15 tiles from the same stomach biopsy slide · 20× magnification · H&E stain.
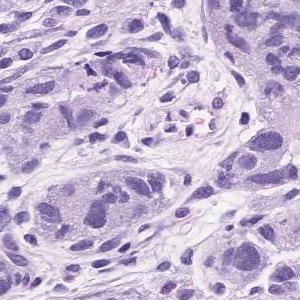
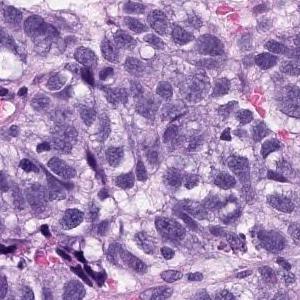
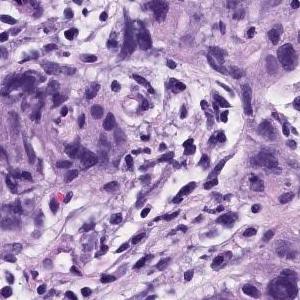
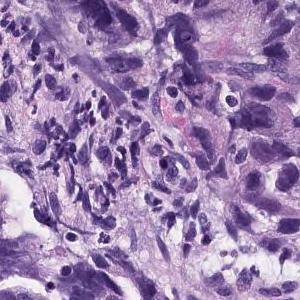
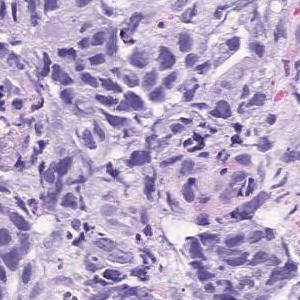
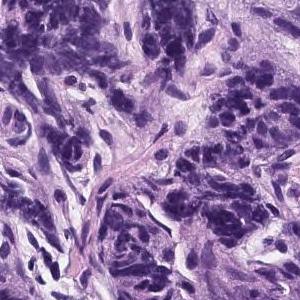
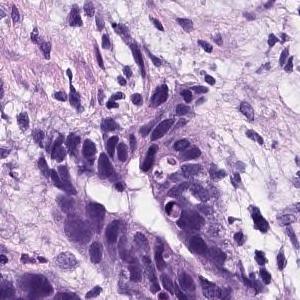
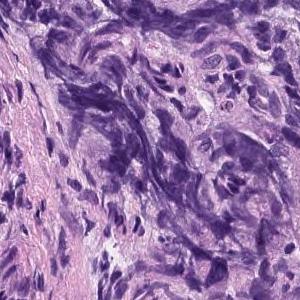
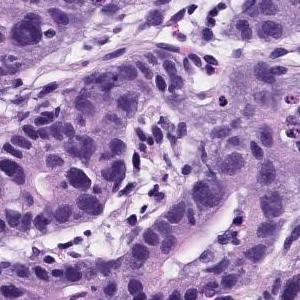
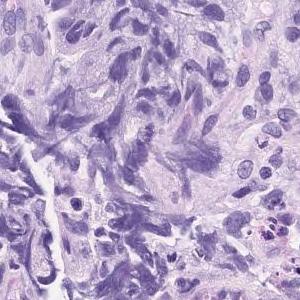
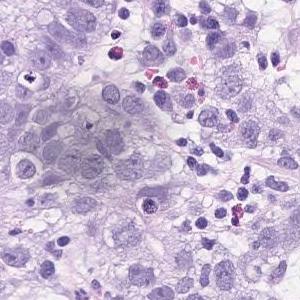
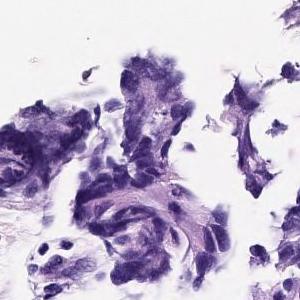
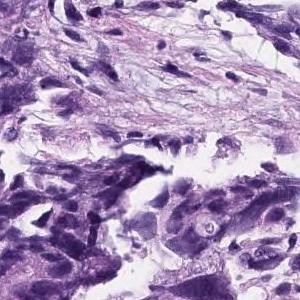
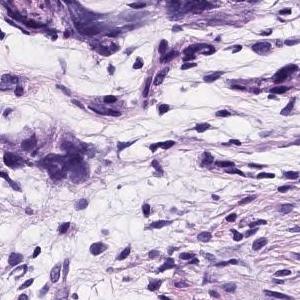
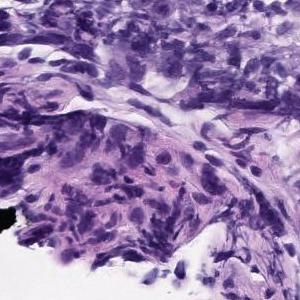
Report on the slide these tiles come from. The report and the diagnosis describe the slide as a whole, so these tiles may not show every feature named and may include non-tumor tissue.
Atypical epithelial cells with an increased N/C ratio proliferate and consist of a part that shows the formation of gland ducts and a part that shows solid growth. Poorly differentiated adenocarcinoma, solid-type
Classified as poorly differentiated adenocarcinoma, solid type. This name comes from the Japanese Classification of Gastric Carcinoma; the WHO 2019 classification calls it tubular adenocarcinoma, poorly differentiated.
